7 tiles from the same stomach biopsy slide · each 300 × 300 pixels · 20× magnification · H&E stain.
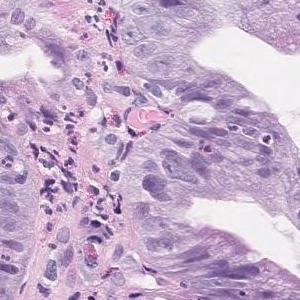
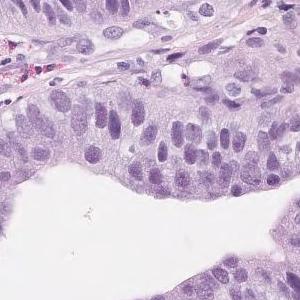
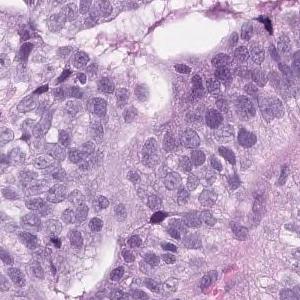
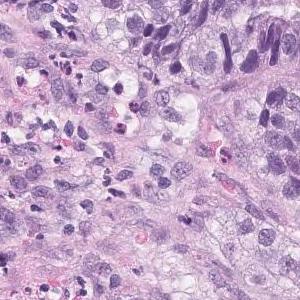
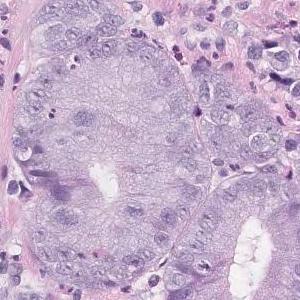
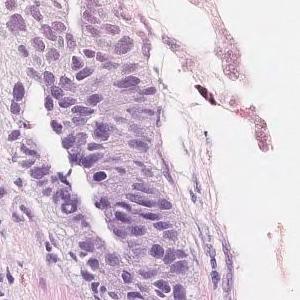
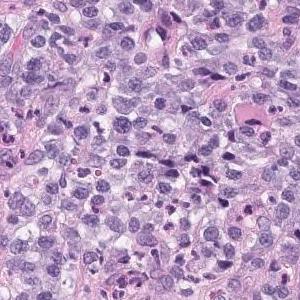
Diagnostic report for the slide these tiles come from. The report describes the whole slide, diagnosis included: not every finding it names need appear in these tiles, which may also show non-tumor tissue.
Tumor tissue in which highly columnar atypical epithelial cells with nuclear enlargement and increased nuclear chromatin show papillary to papillary ductal structure and proliferate is observed. Papillary adenocarcinoma.
